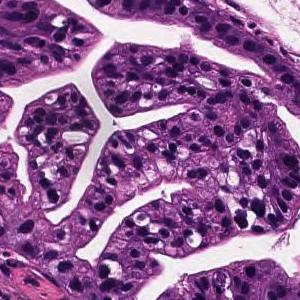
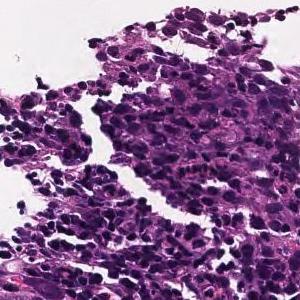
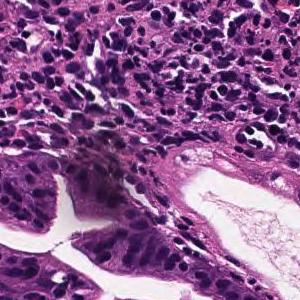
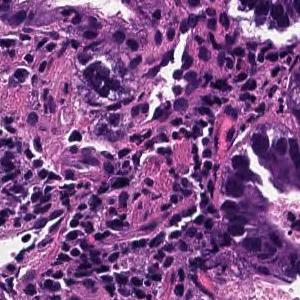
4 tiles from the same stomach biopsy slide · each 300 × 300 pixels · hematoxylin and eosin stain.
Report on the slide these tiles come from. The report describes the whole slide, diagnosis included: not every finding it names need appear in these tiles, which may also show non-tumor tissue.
From the superficial epithelium to the muscularis mucosae, tumor tissue consisting of medium-sized and irregular glandular ducts infiltrating is observed. Well differentiated tubular adenocarcinoma
